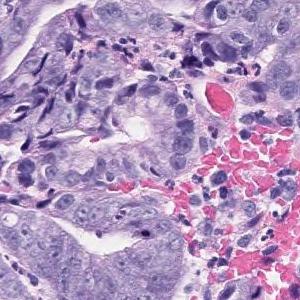
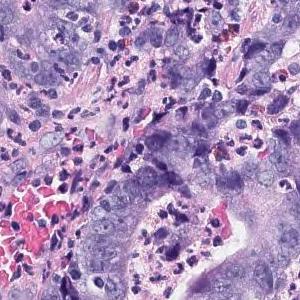
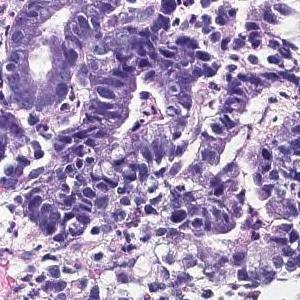
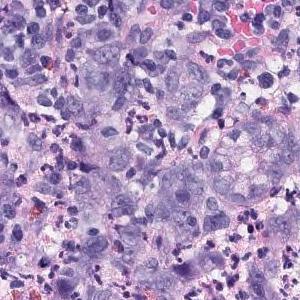
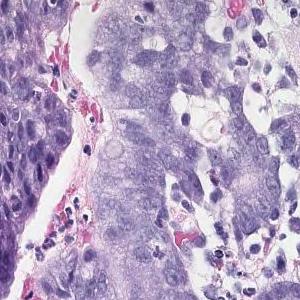
5 patches cut from one gastric biopsy slide; 300 × 300 pixels each; hematoxylin and eosin stain; ×20.
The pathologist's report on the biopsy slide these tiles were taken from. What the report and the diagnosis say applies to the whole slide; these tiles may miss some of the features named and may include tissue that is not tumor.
In the superficial epithelium, tumor tissue that invades by forming medium-sized to small, irregular ducts is observed. Moderately differentiated adenocarcinoma.
Classified as moderately differentiated tubular adenocarcinoma.
